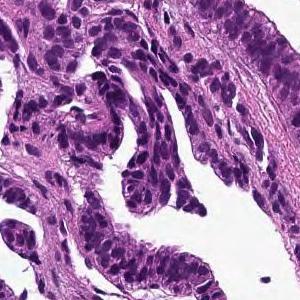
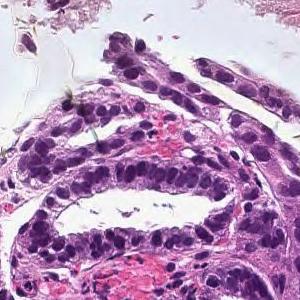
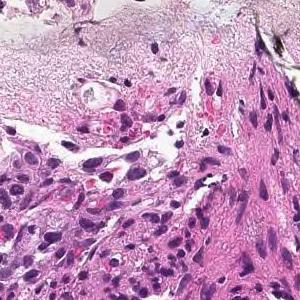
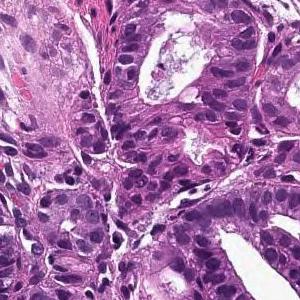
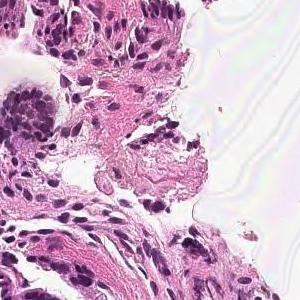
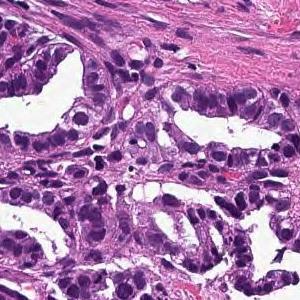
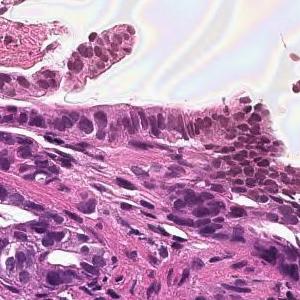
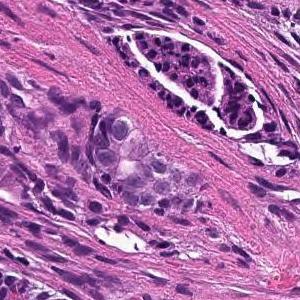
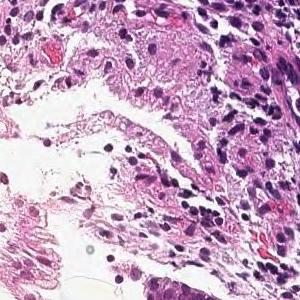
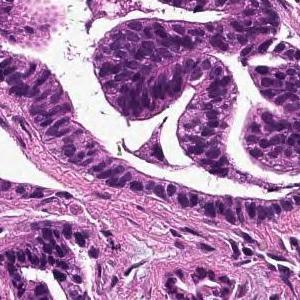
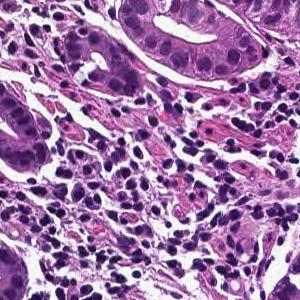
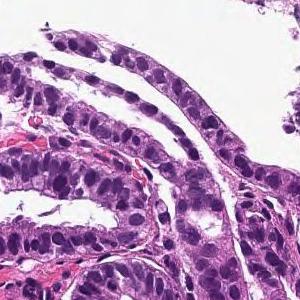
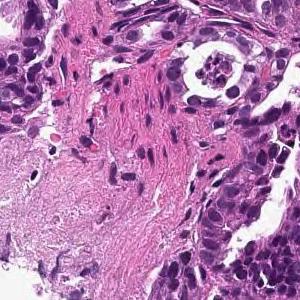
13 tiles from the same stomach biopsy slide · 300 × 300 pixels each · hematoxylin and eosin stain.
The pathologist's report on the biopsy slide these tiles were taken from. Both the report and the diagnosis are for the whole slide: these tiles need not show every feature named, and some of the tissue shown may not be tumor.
Tumor cells are large, highly columnar, large club-shaped nuclei, and are associated with chromatin aggregation. Papillary adenocarcinoma.
